8 patches cut from one gastric biopsy slide, H&E, scanned at ×20.
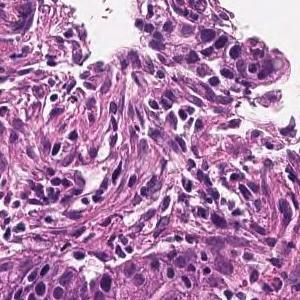
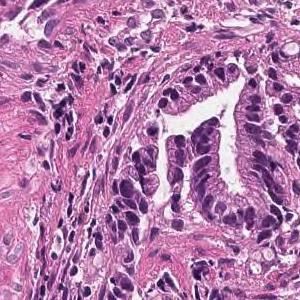
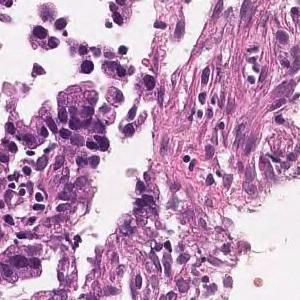
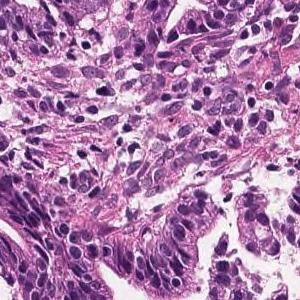
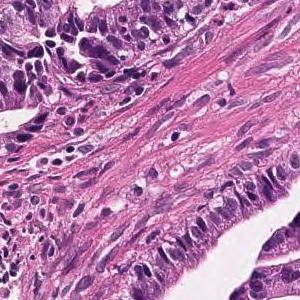
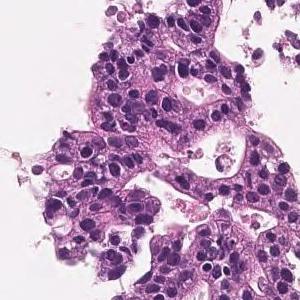
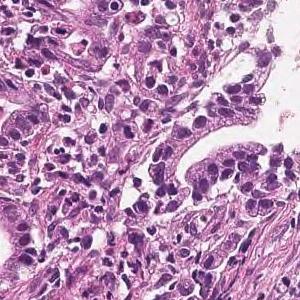
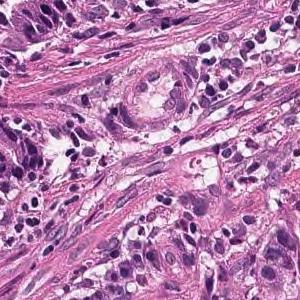
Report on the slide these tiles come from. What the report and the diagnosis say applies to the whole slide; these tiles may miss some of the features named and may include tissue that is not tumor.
Tumor cells are large, highly columnar, large club-shaped nuclei, and are associated with chromatin aggregation. Papillary adenocarcinoma.
